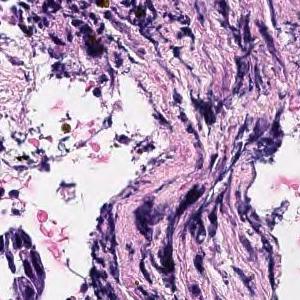
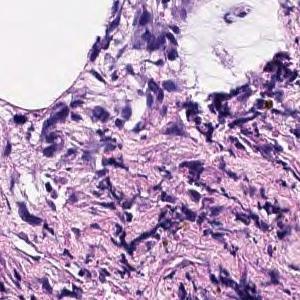
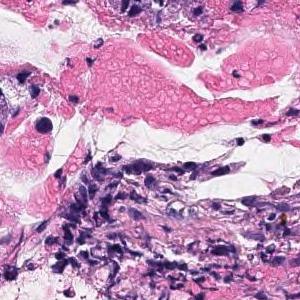
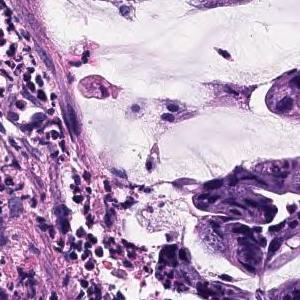
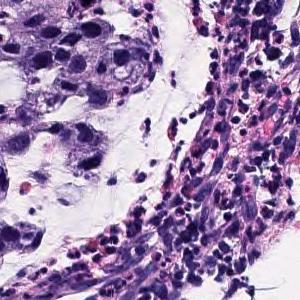
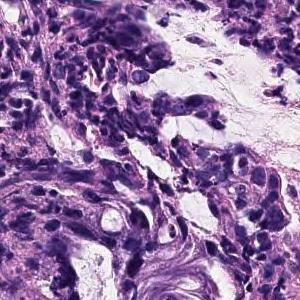
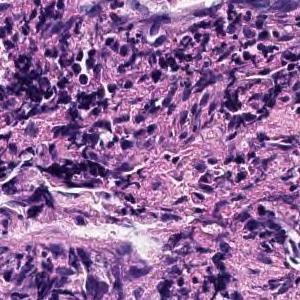
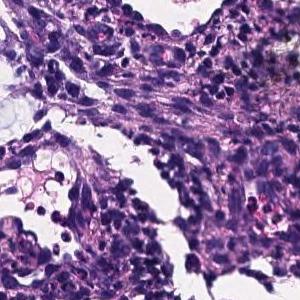
H&E · ×20 · 8 image tiles from a single gastric biopsy slide.
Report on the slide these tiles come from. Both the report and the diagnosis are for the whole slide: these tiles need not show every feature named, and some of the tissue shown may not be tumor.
The superficial epithelium shows small cord-like infiltrating tumor tissue. Some part of neoplastic cells are signet ring cell type which show single invasion manner. Poorly differentiated adenocarcinoma, non-solid type.
The non-solid type named here is a Japanese Classification of Gastric Carcinoma category.
